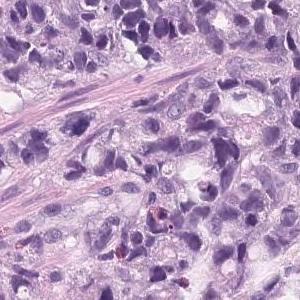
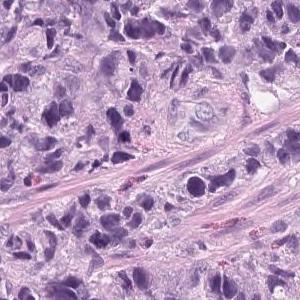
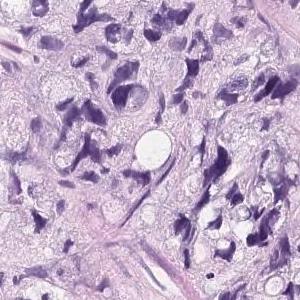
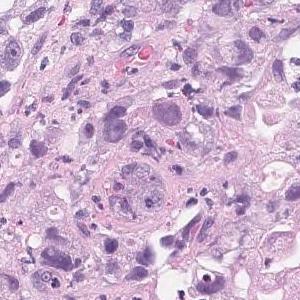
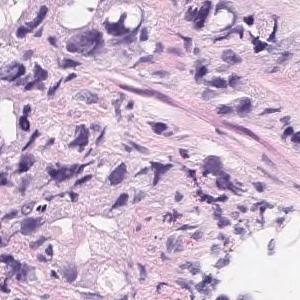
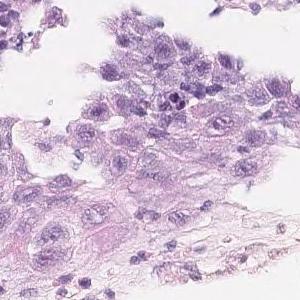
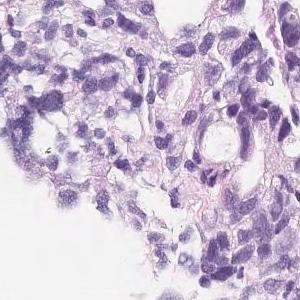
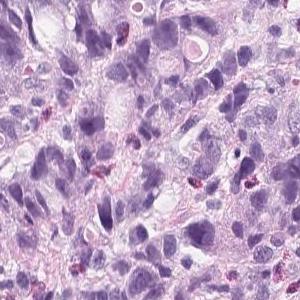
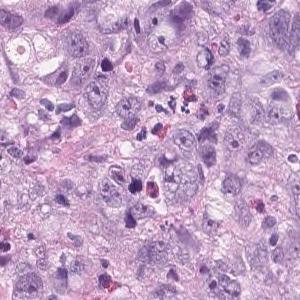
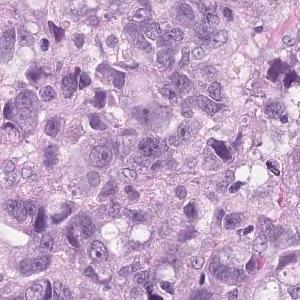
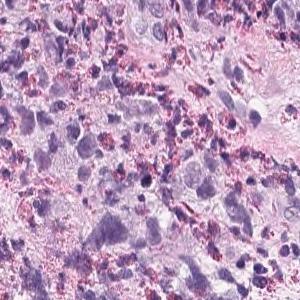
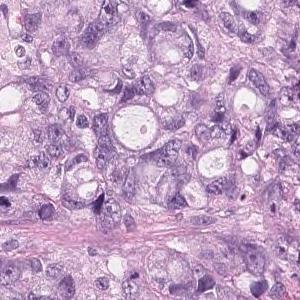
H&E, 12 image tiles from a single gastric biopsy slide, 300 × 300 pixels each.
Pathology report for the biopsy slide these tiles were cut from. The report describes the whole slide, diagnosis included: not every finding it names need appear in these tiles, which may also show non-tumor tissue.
Tumor tissue that infiltrates and proliferates by forming small glandular cavities in the superficial layer to the submucosa or forming a mass is observed. moderately differentiated tubular adenocarcinoma
